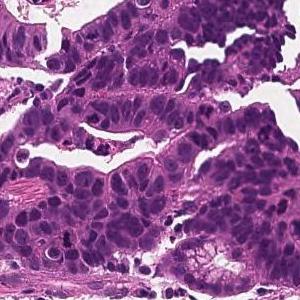
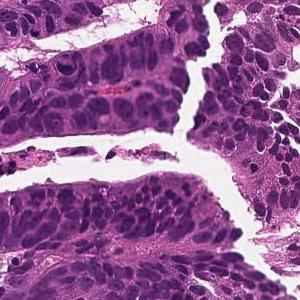
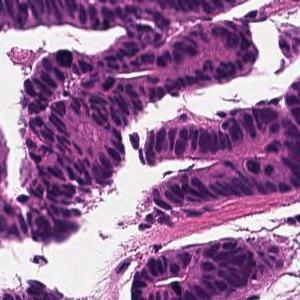
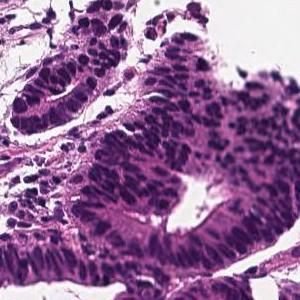
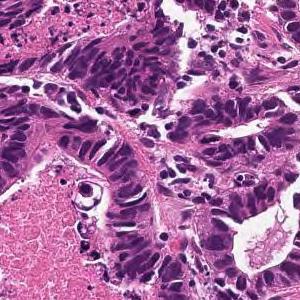
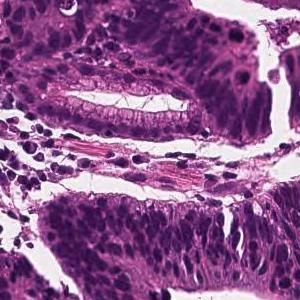
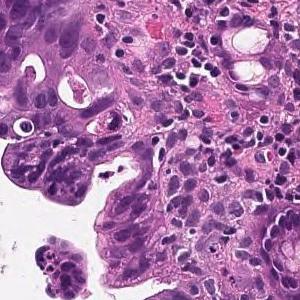
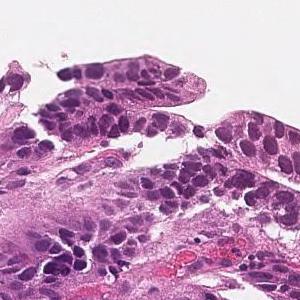
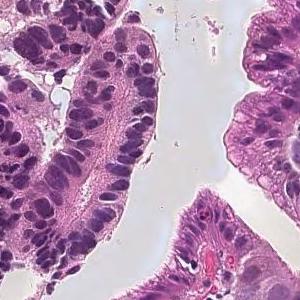
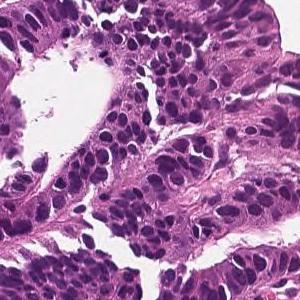
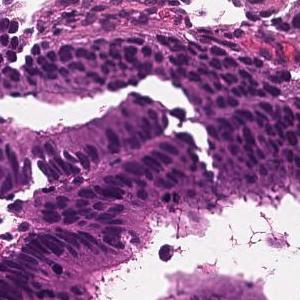
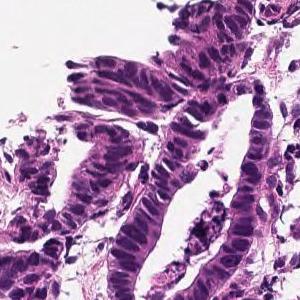
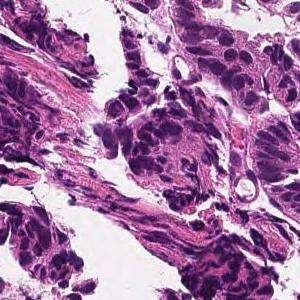
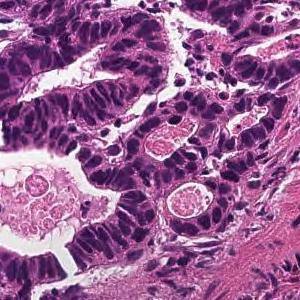
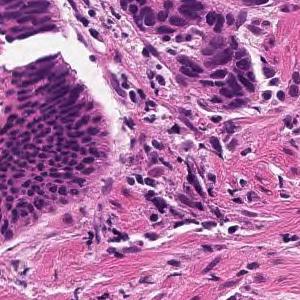
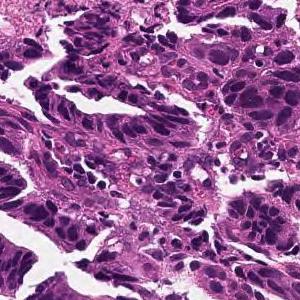
16 patches cut from one gastric biopsy slide · H&E stain.
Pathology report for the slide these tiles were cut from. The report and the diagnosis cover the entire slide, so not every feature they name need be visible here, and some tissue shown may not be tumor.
From the superficial epithelium to the muscularis mucosae, tumor tissue consisting of medium-sized and irregular glandular ducts infiltrating is observed. Well differentiated tubular adenocarcinoma
